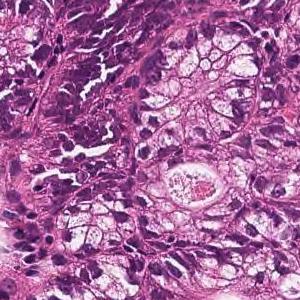
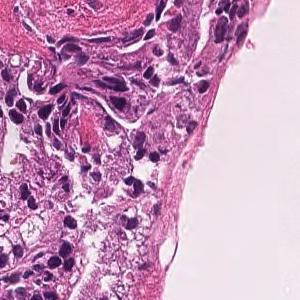
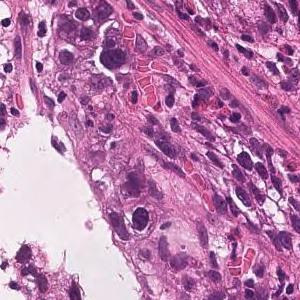
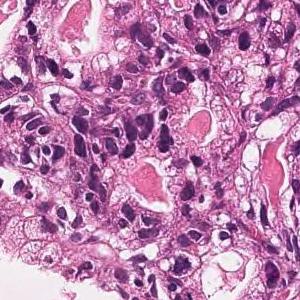
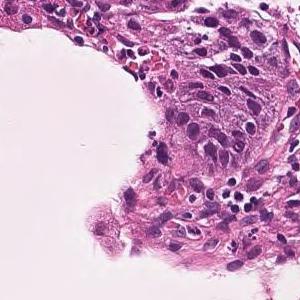
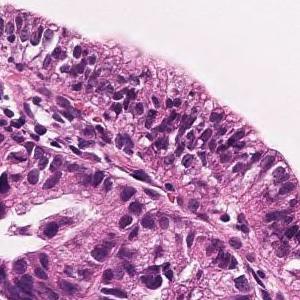
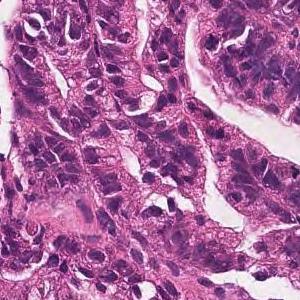
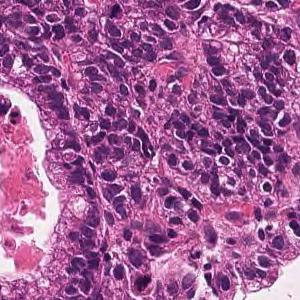
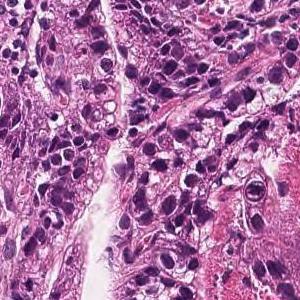
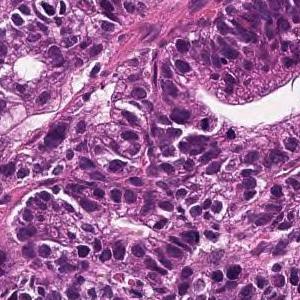
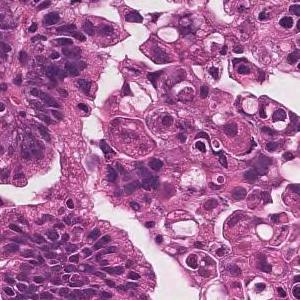
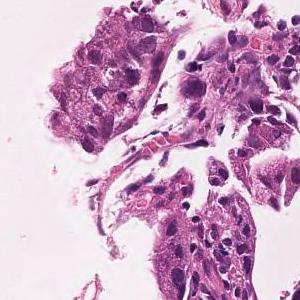
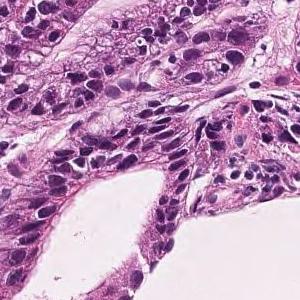
13 tiles from the same stomach biopsy slide · H&E stain · ×20.
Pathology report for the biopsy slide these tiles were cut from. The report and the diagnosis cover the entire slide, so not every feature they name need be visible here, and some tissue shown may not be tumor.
On the superficial epithelium, tumor tissue consisting of large, irregular glandular ducts partially fused and infiltrated is observed. Well to moderately differentiated tubular adenocarcinoma (well differentiated tubular adenocarcinoma, moderately differentiated tubular adenocarcinoma)
Subtype: Well to moderately differentiated tubular adenocarcinoma.
